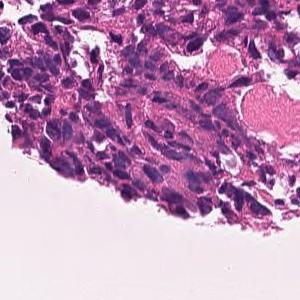
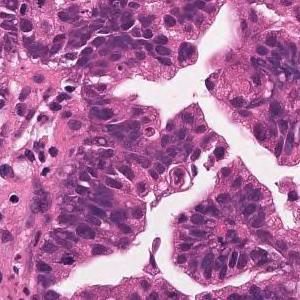
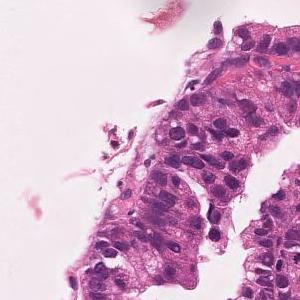
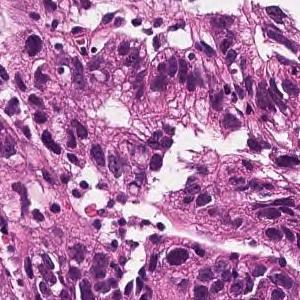
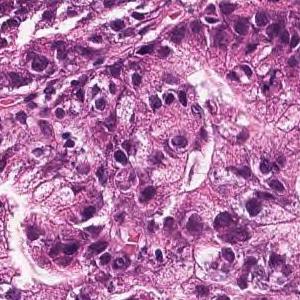
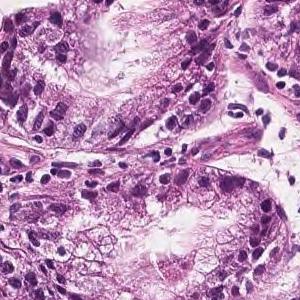
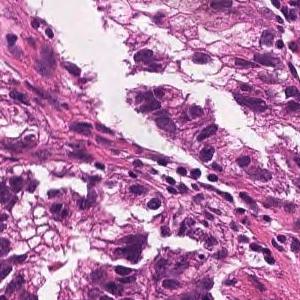
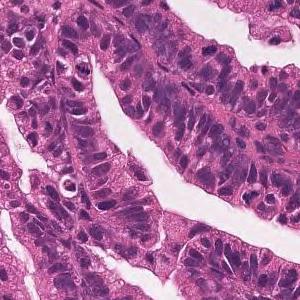
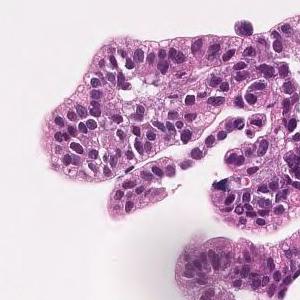
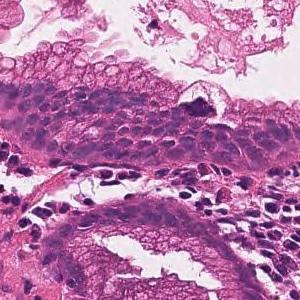
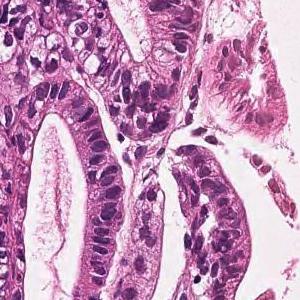
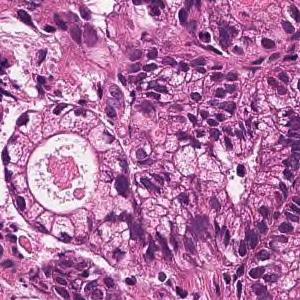
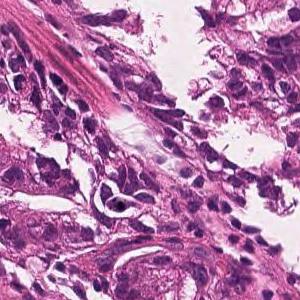
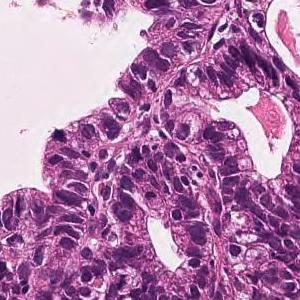
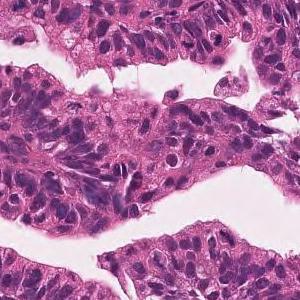
×20; H&E stain; 15 tiles cut from one stomach biopsy slide; each 300 × 300 pixels.
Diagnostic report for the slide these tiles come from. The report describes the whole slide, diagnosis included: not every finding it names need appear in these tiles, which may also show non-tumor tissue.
On the superficial epithelium, tumor tissue consisting of large, irregular glandular ducts partially fused and infiltrated is observed. Well to moderately differentiated tubular adenocarcinoma (well differentiated tubular adenocarcinoma, moderately differentiated tubular adenocarcinoma)
Histologic type: Well to moderately differentiated tubular adenocarcinoma.
